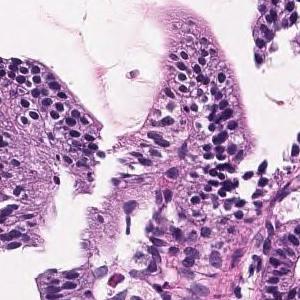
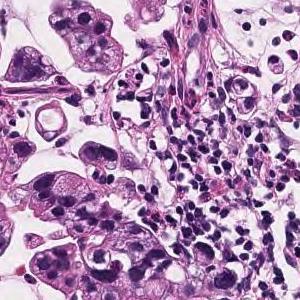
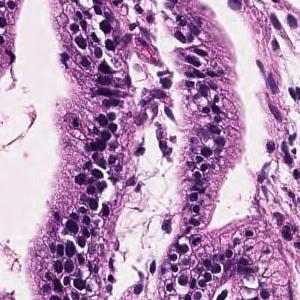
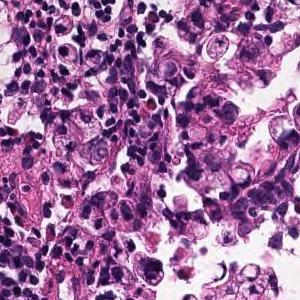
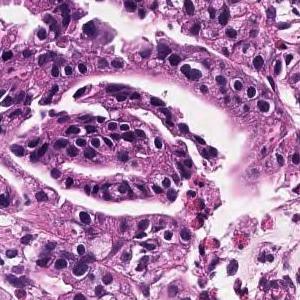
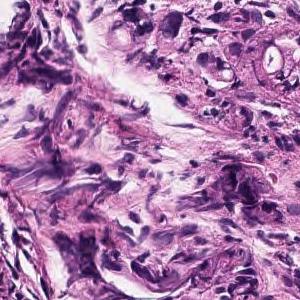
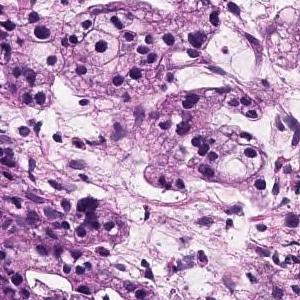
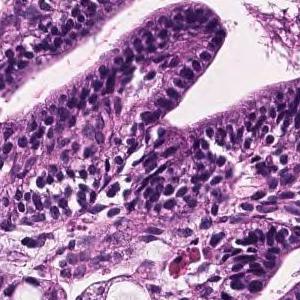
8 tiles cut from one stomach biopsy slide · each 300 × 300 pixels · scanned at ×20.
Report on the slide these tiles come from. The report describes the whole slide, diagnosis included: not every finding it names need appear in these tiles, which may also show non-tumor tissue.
Tumor tissue consisting of large papillary structures or irregular glandular ducts partially fused and infiltrated is observed in the superficial epithelium. Well to moderately differentiated tubular adenocarcinoma.
Dataset label: moderately differentiated tubular adenocarcinoma.
